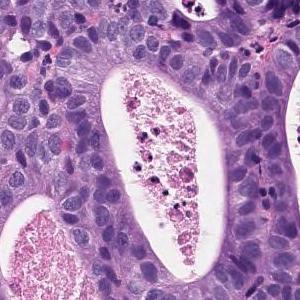
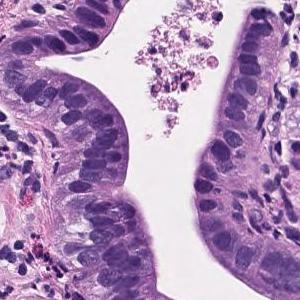
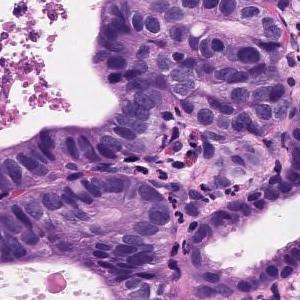
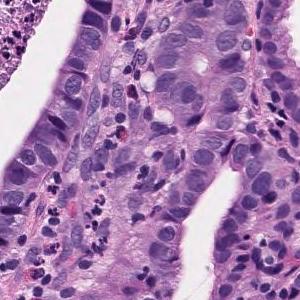
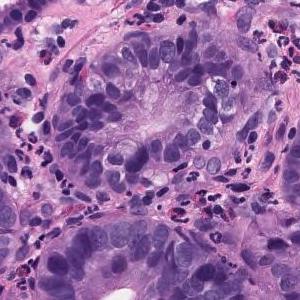
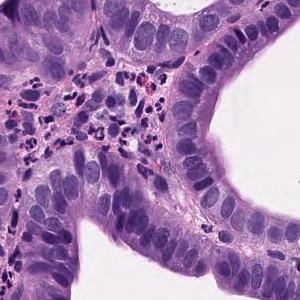
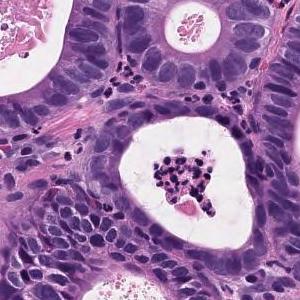
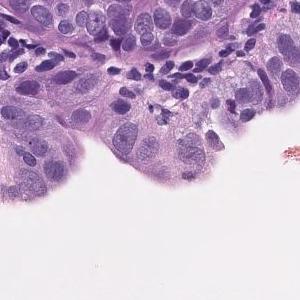
20× magnification; 8 patches cut from one gastric biopsy slide; each 300 × 300 pixels.
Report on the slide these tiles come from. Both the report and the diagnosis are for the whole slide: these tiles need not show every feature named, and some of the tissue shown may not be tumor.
Tumor tissue consisting of proliferative medium to large, round or irregular glandular ducts in the superficial epithelium. Well differentiated adenocarcinoma.
Histological subtype: Well differentiated tubular adenocarcinoma.
